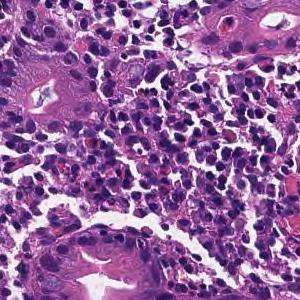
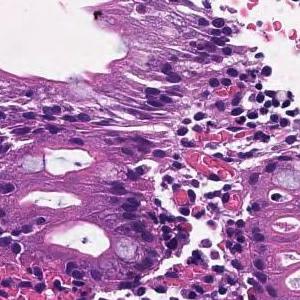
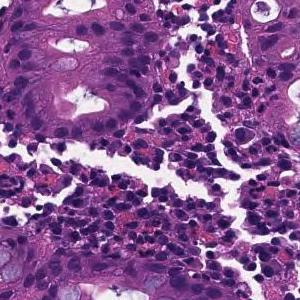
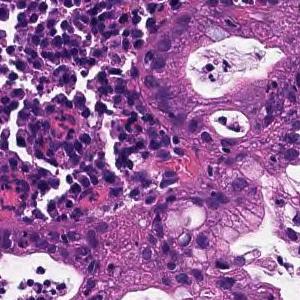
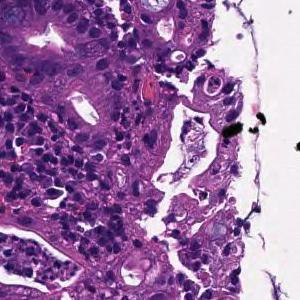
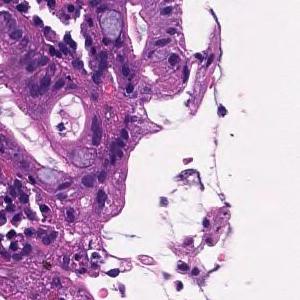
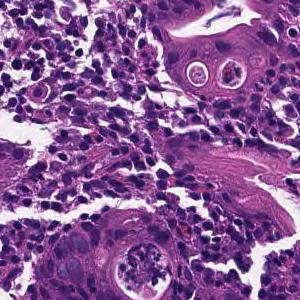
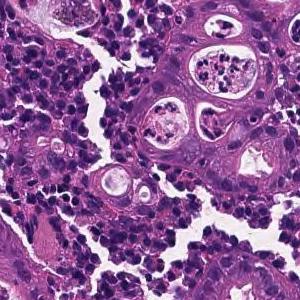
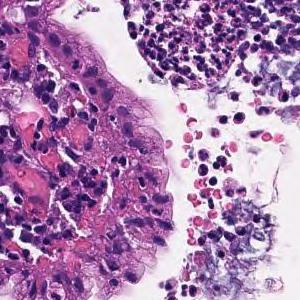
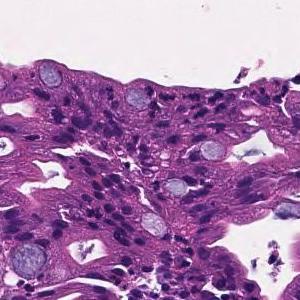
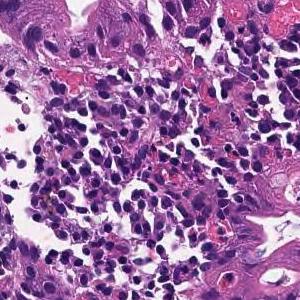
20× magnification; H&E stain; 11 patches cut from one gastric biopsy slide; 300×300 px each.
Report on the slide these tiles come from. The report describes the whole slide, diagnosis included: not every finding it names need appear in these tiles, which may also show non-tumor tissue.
In the superficial epithelium, tumor tissue that invades by forming medium-sized to small, irregular ducts is observed. moderately differentiated tubular adenocarcinoma.
